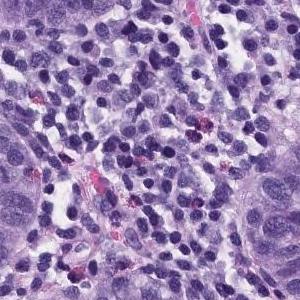
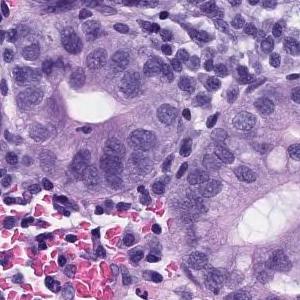
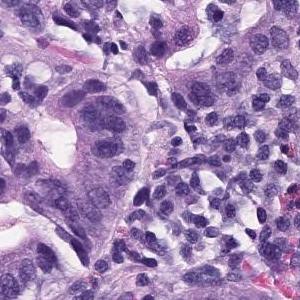
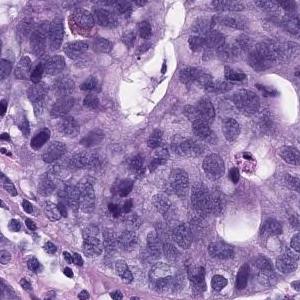
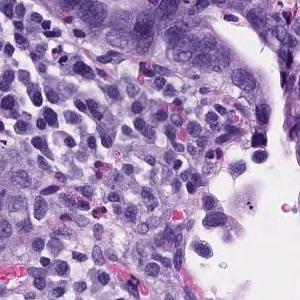
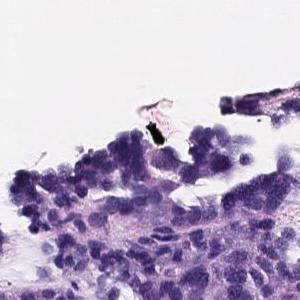
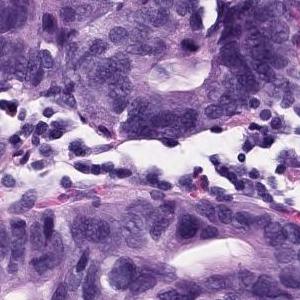
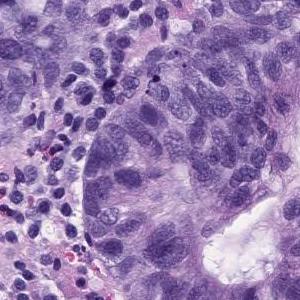
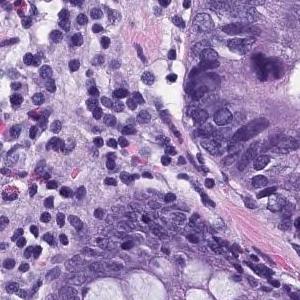
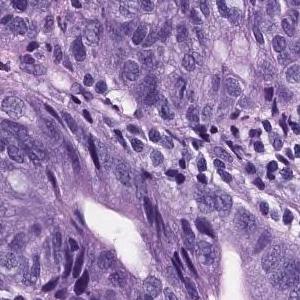
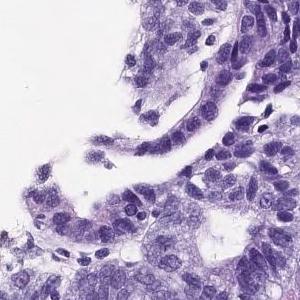
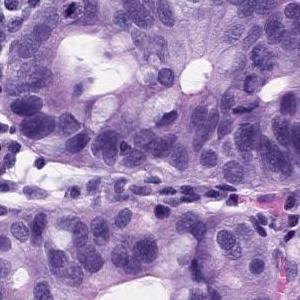
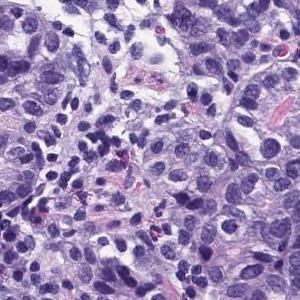
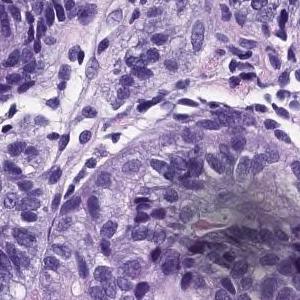
14 patches cut from one gastric biopsy slide, 300 × 300 pixels each, H&E stain, scanned at ×20.
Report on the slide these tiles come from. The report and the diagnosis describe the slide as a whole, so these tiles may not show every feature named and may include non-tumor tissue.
In the superficial epithelium, tumor tissue that invades by forming medium-sized to small, irregular ducts is observed. Moderately differentiated adenocarcinoma.
Subtype: Moderately differentiated tubular adenocarcinoma.
